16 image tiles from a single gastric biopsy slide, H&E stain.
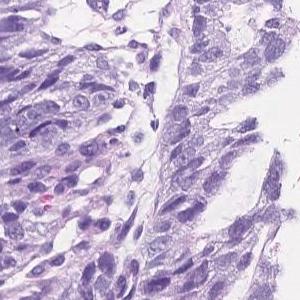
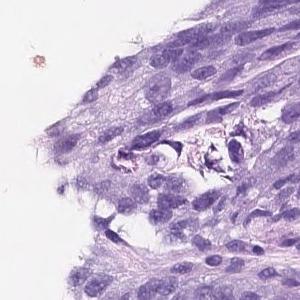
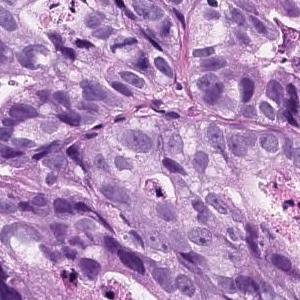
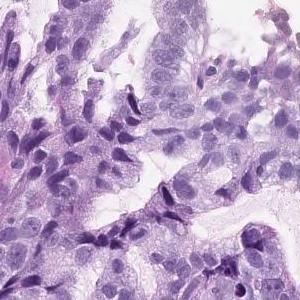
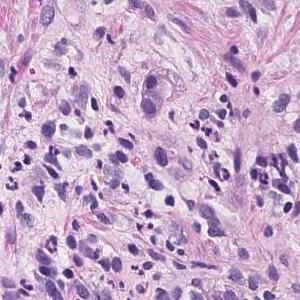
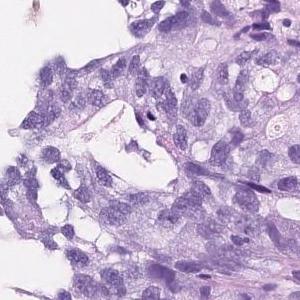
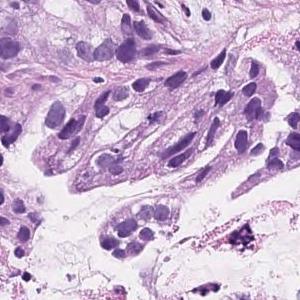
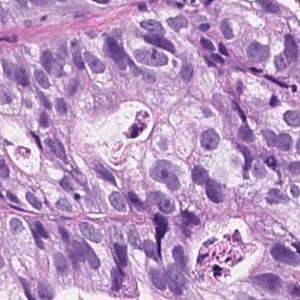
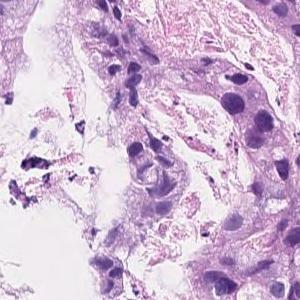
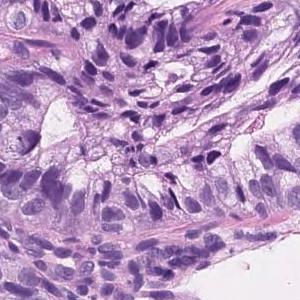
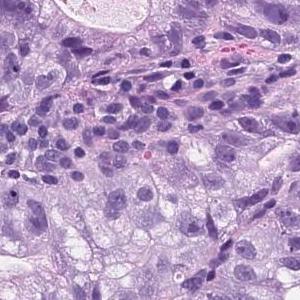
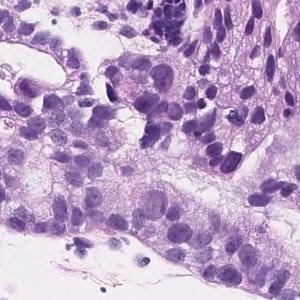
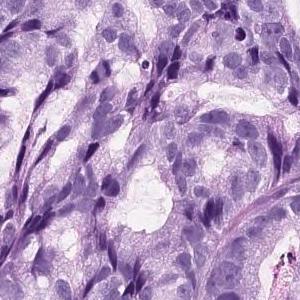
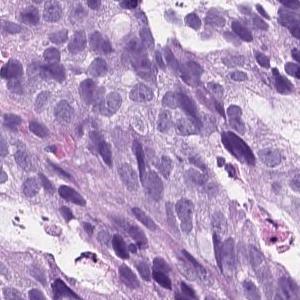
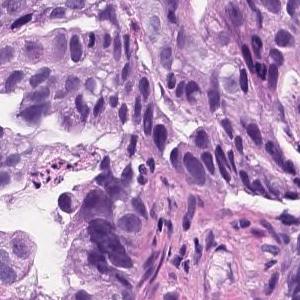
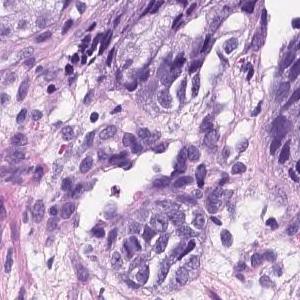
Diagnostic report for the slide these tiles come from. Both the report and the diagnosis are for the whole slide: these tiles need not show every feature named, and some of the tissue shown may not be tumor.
On the superficial epithelium, tumor tissue consisting of an image of large, irregular glandular ducts partially fused and infiltrated is observed. Well to moderately differentiated tubular adenocarcinoma
